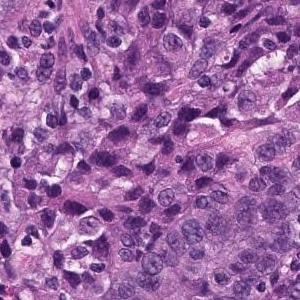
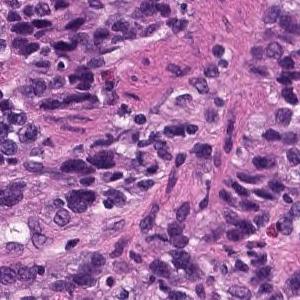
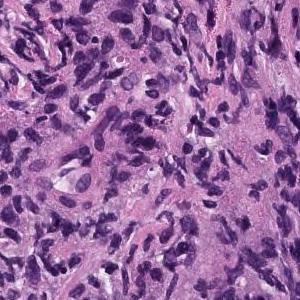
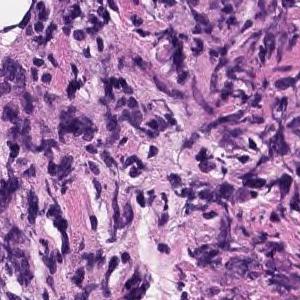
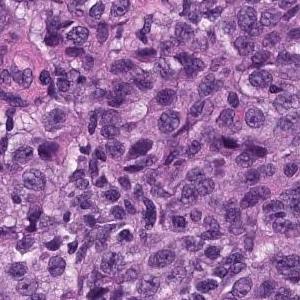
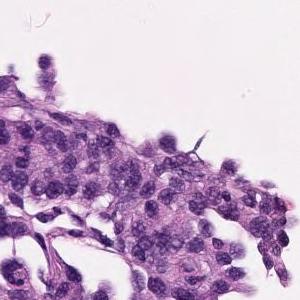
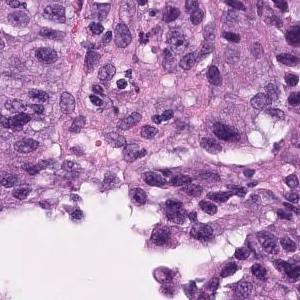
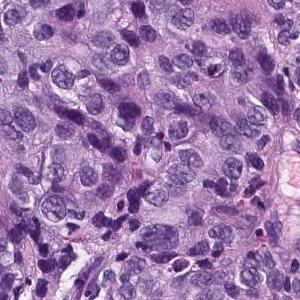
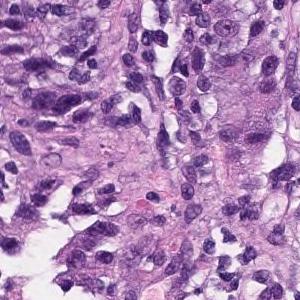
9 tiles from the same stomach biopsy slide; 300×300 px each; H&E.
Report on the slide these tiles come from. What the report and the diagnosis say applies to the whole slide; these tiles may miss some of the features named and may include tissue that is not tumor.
In the superficial epithelium, tumor tissue that invades by forming medium-sized to small, irregular ducts is observed. Moderately differentiated adenocarcinoma.
Classified as moderately differentiated tubular adenocarcinoma.
